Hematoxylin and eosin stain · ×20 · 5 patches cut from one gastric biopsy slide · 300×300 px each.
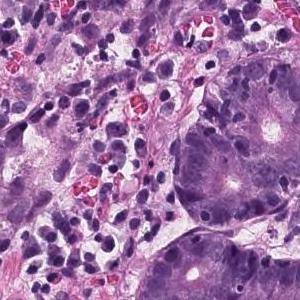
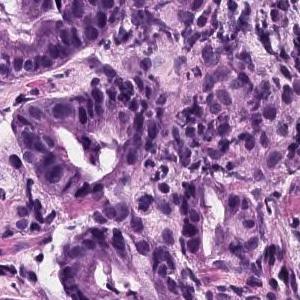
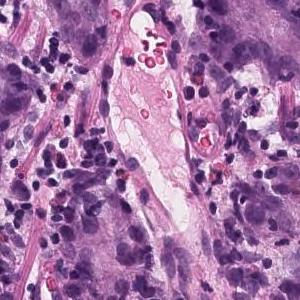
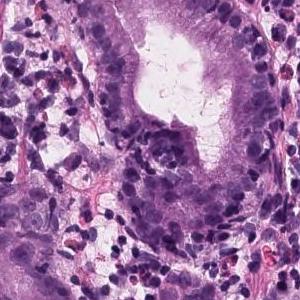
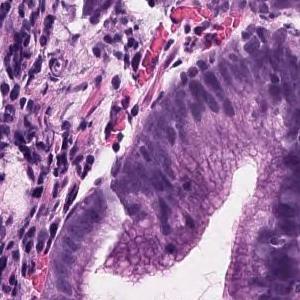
Pathology report for the biopsy slide these tiles were cut from. What the report and the diagnosis say applies to the whole slide; these tiles may miss some of the features named and may include tissue that is not tumor.
In the superficial epithelium, tumor tissue that invades by forming medium-sized to small, irregular ducts is observed. Moderately differentiated adenocarcinoma.
Subtype: Moderately differentiated tubular adenocarcinoma.
